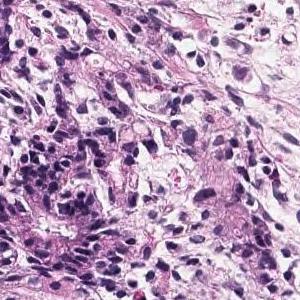
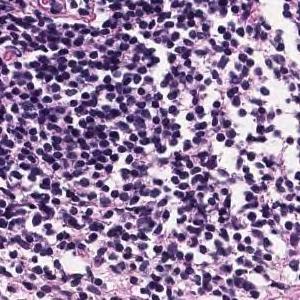
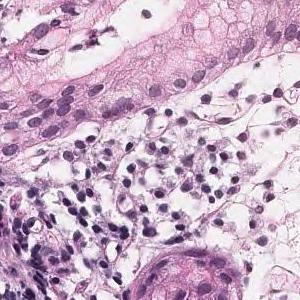
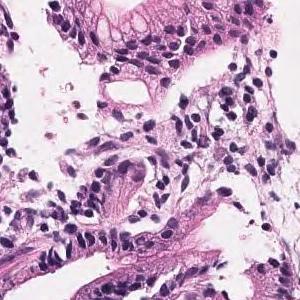
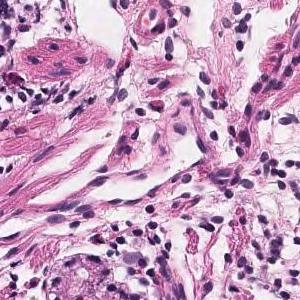
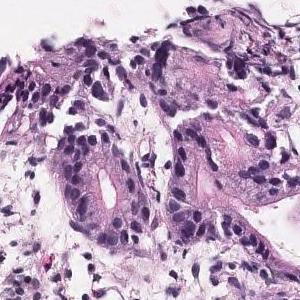
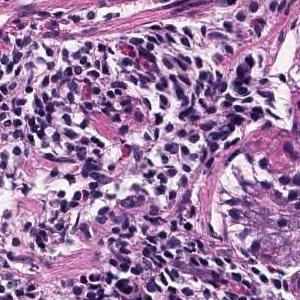
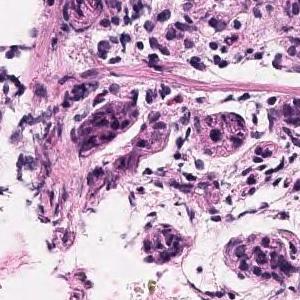
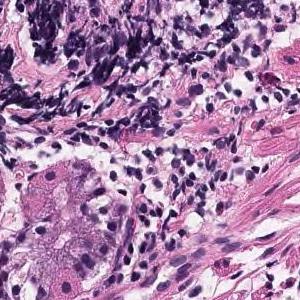
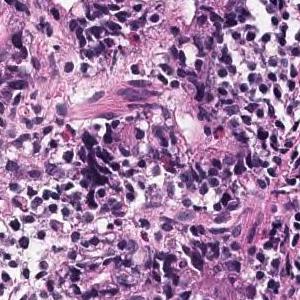
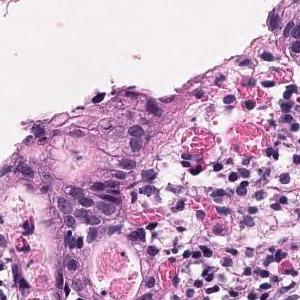
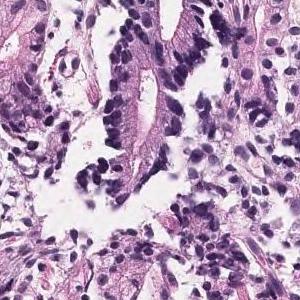
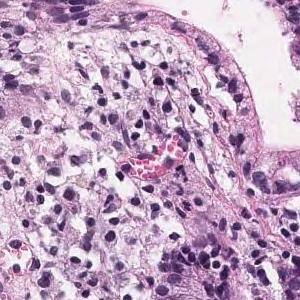
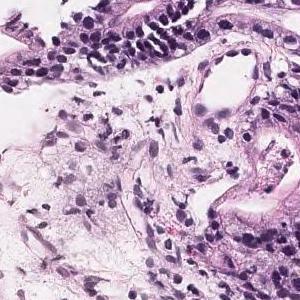
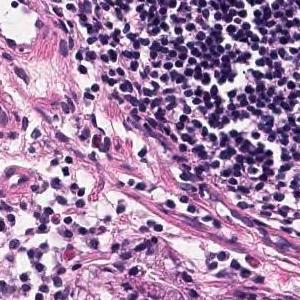
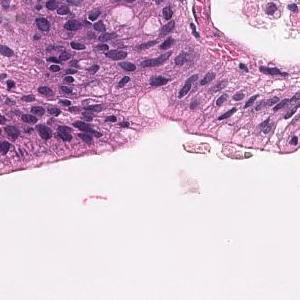
Scanned at ×20, hematoxylin and eosin stain, 16 image tiles from a single gastric biopsy slide, 300×300 px each.
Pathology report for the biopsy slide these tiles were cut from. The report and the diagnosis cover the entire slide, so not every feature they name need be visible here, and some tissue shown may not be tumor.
Tumor tissue that grows and grows is observed, showing a medium-sized round or irregular duct. moderately differentiated tubular adenocarcinoma
